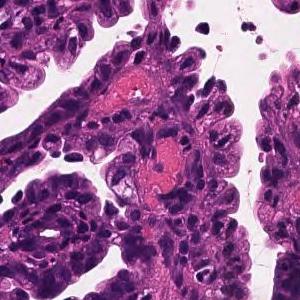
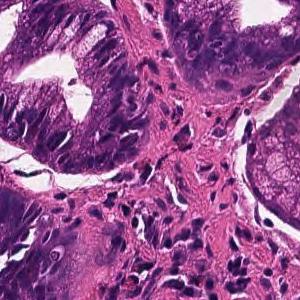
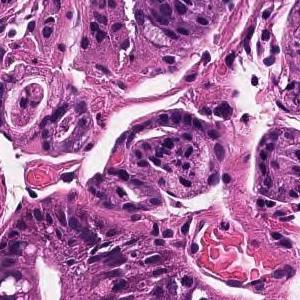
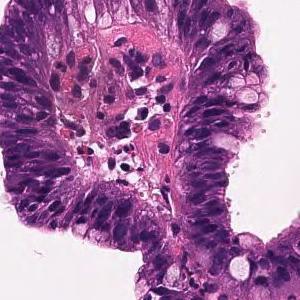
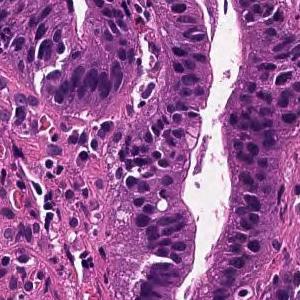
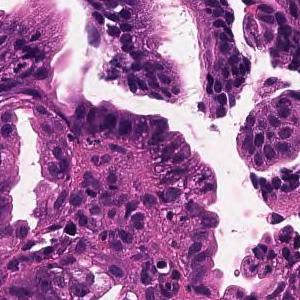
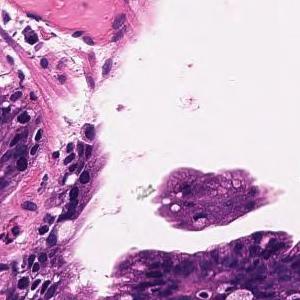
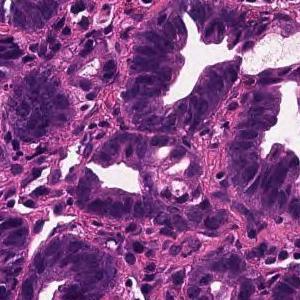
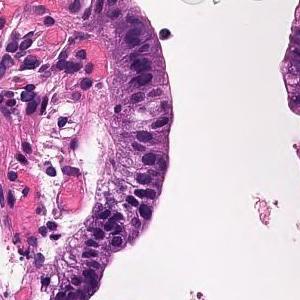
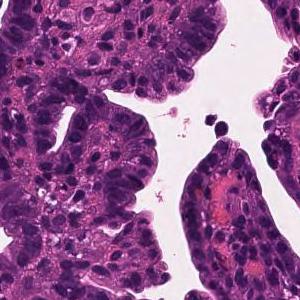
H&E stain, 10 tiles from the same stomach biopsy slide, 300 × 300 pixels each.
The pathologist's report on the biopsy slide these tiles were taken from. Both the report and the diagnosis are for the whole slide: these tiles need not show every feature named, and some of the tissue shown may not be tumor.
On the superficial epithelium, tumor tissue that infiltrates by forming medium-sized papillary or small irregular ducts is observed. Papillary adenocarcinoma
